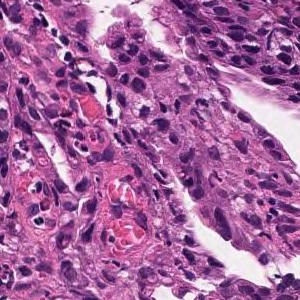
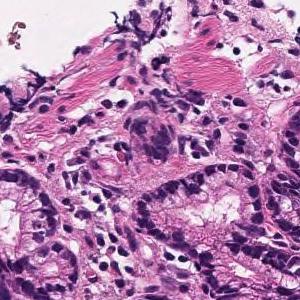
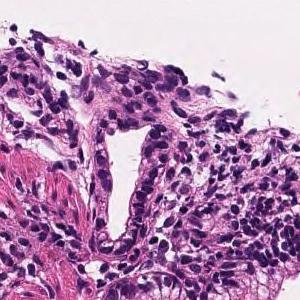
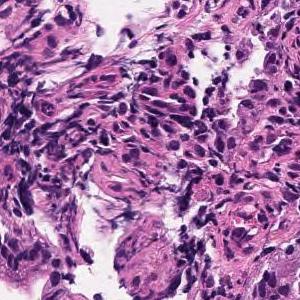
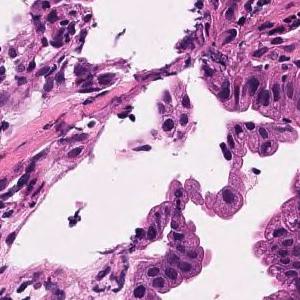
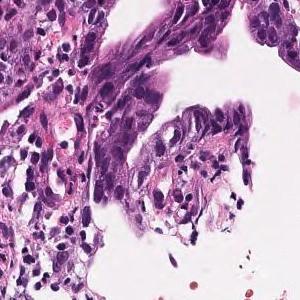
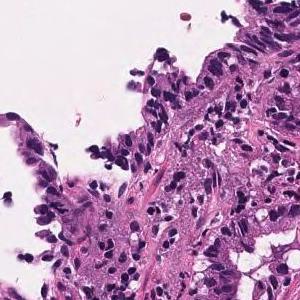
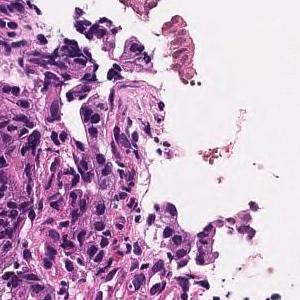
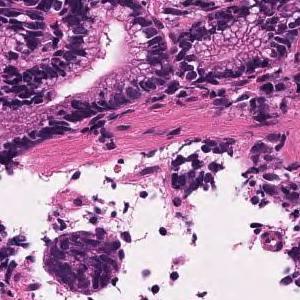
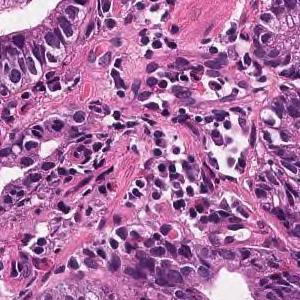
H&E; scanned at ×20; 10 tiles cut from one stomach biopsy slide; 300 × 300 pixels each.
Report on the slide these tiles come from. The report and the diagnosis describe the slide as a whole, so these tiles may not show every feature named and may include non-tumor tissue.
Tumor tissue in which medium to small irregular ducts infiltrate and proliferate in the submucosa can be seen in the epithelium. Well differentiated tubular adenocarcinoma
